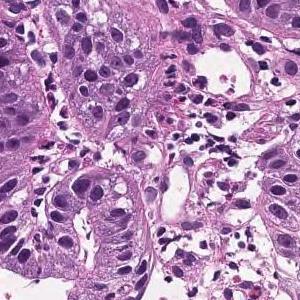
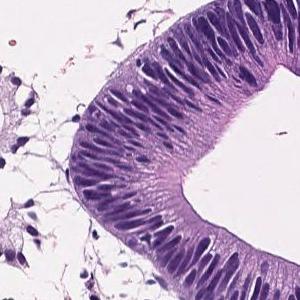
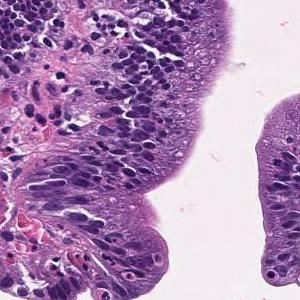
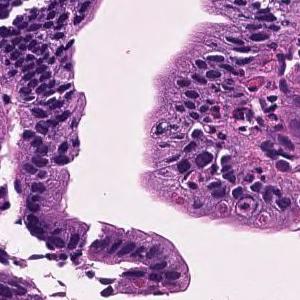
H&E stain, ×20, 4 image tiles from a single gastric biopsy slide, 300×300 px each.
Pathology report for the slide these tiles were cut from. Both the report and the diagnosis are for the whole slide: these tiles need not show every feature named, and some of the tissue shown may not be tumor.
In the superficial epithelium, tumor tissue that invades by forming medium-sized to small, irregular ducts is observed. Well differentiated tubular adenocarcinoma.
